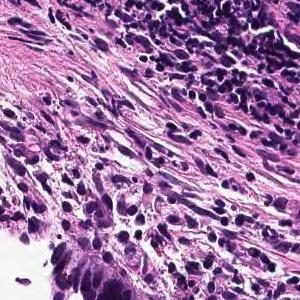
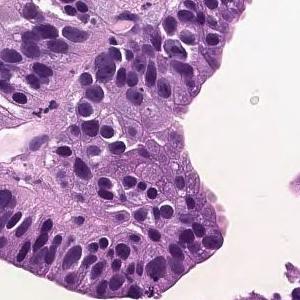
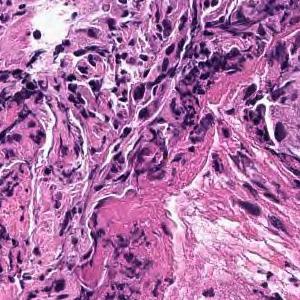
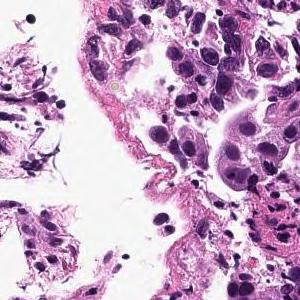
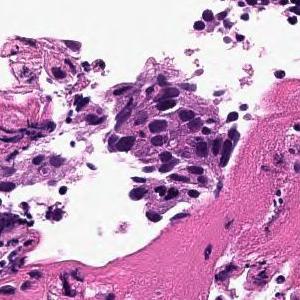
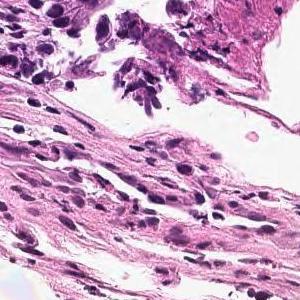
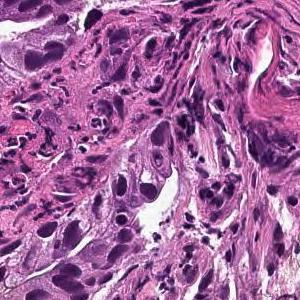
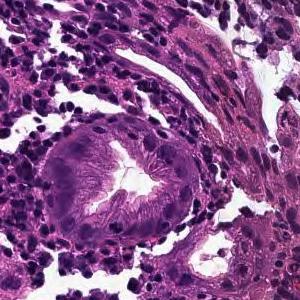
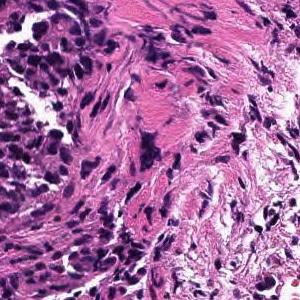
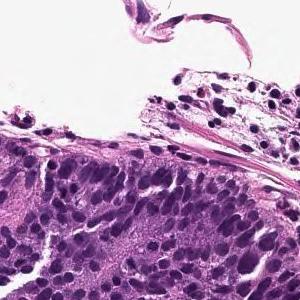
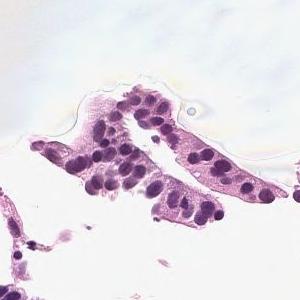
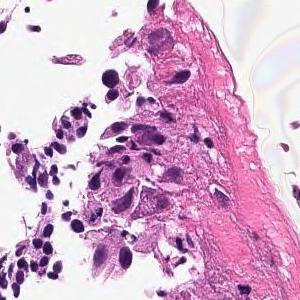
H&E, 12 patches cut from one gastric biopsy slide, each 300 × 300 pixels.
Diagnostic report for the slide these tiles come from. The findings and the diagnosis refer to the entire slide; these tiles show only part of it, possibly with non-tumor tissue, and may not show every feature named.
On the superficial epithelium, tumor tissue that infiltrates by forming medium-sized papillary or small irregular ducts is observed. Papillary adenocarcinoma
